7 image tiles from a single gastric biopsy slide, 300 × 300 pixels each.
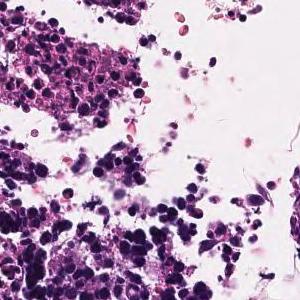
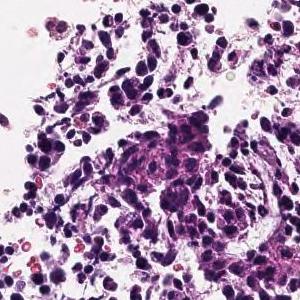
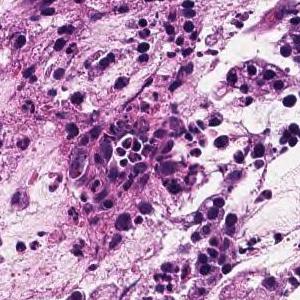
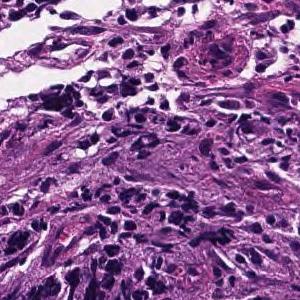
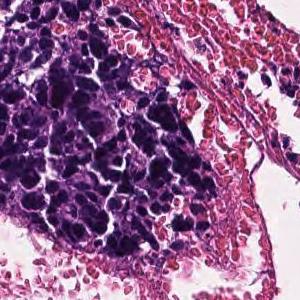
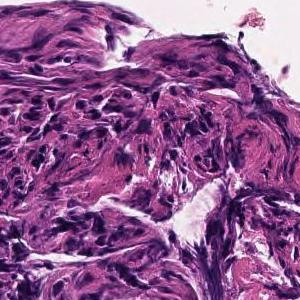
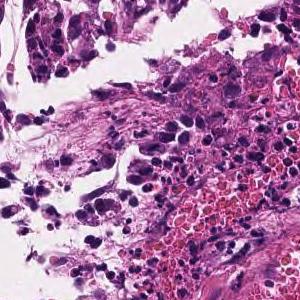
Report on the slide these tiles come from. Both the report and the diagnosis are for the whole slide: these tiles need not show every feature named, and some of the tissue shown may not be tumor.
The superficial epithelium shows a large sheet-like shape, and some tumor tissue infiltrates with small irregular ducts. Poorly differentiated adenocarcinoma, solid-type
Subtype: Poorly differentiated adenocarcinoma, solid type (Japanese Classification of Gastric Carcinoma). The WHO 2019 equivalent is tubular adenocarcinoma, poorly differentiated.
